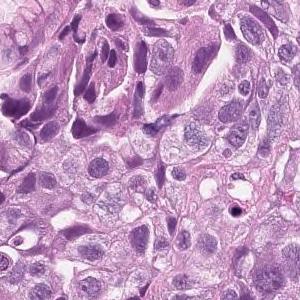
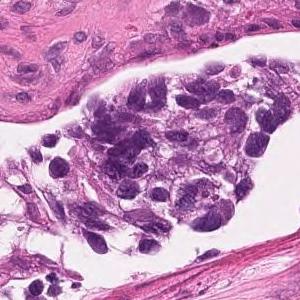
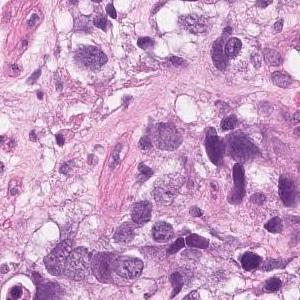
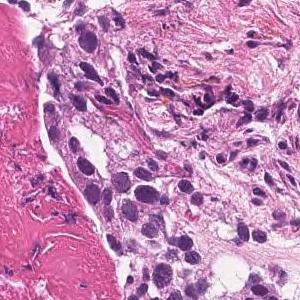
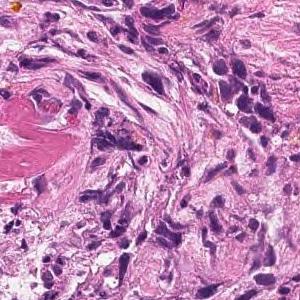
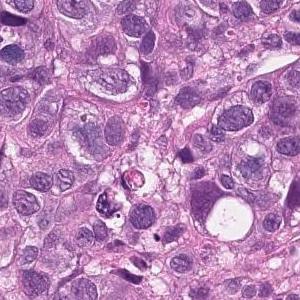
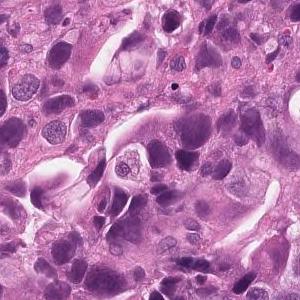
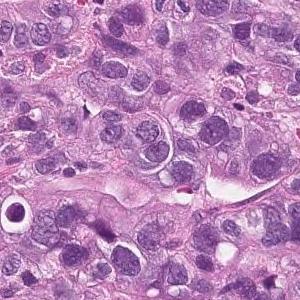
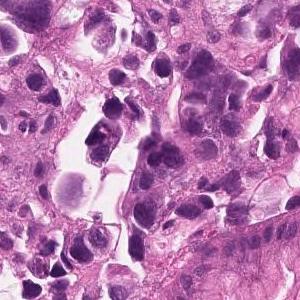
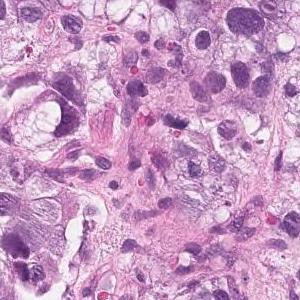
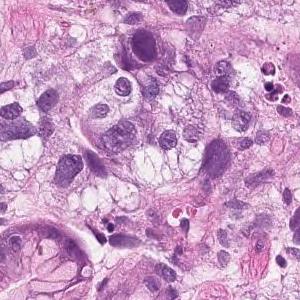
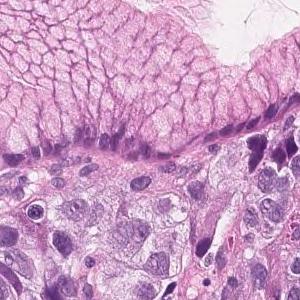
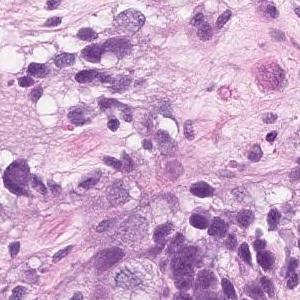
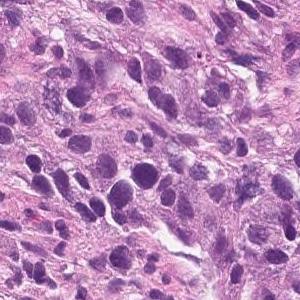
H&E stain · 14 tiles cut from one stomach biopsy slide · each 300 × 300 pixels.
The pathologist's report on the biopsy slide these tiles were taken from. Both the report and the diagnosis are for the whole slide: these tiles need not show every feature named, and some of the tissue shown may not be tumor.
Tumor tissue that infiltrates the epithelium in an alveolar manner. Poorly differentiated adenocarcinoma, solid-type
Subtype: Poorly differentiated adenocarcinoma, solid type, a category of the Japanese Classification of Gastric Carcinoma; in the WHO 2019 classification it is tubular adenocarcinoma, poorly differentiated.
